H&E; ×20; 8 image tiles from a single gastric biopsy slide; each 300 × 300 pixels.
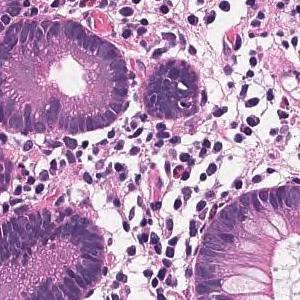
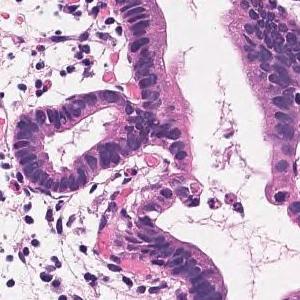
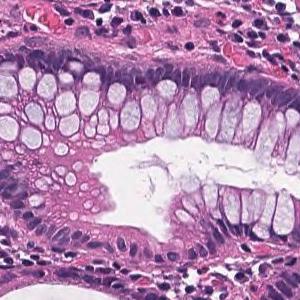
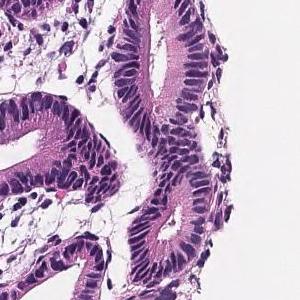
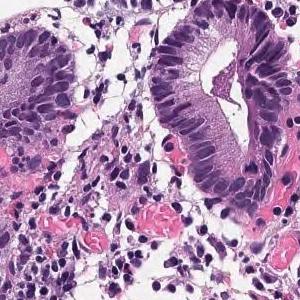
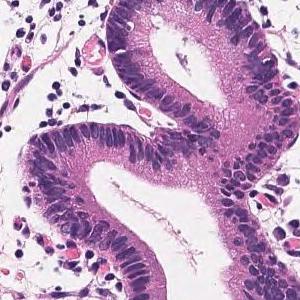
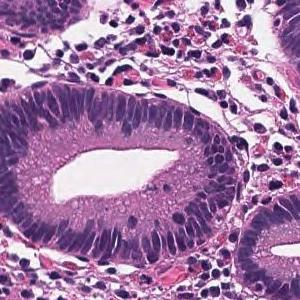
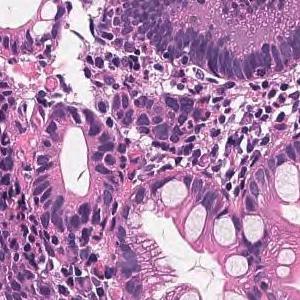
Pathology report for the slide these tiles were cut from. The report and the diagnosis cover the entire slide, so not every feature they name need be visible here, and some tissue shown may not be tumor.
Tumor tissue in which medium to small irregular ducts infiltrate and proliferate in the submucosa can be seen in the epithelium. Well differentiated tubular adenocarcinoma
